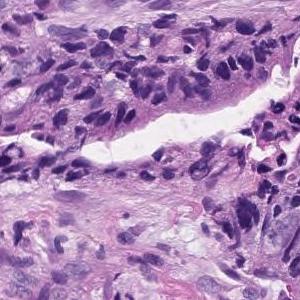
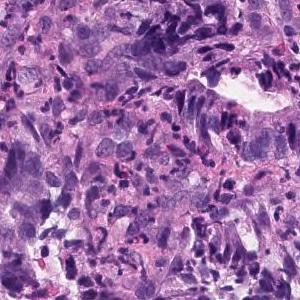
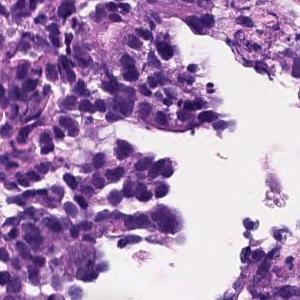
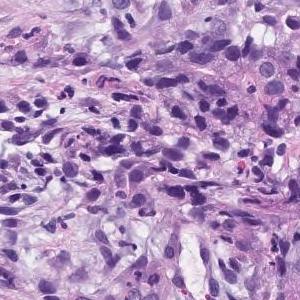
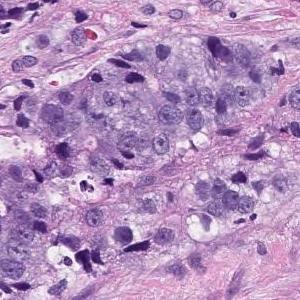
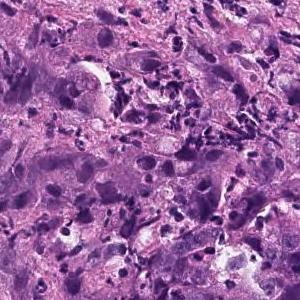
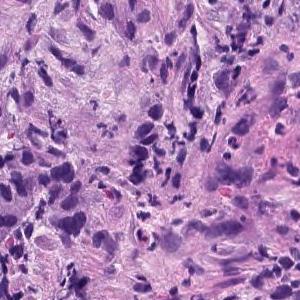
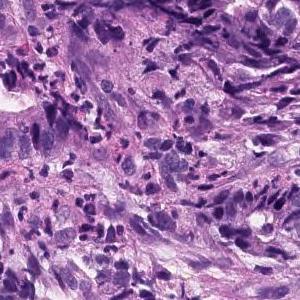
H&E, 8 tiles cut from one stomach biopsy slide, 300 × 300 pixels each.
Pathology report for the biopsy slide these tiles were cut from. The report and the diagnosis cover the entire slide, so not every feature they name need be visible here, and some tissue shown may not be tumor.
Medium to small, irregular glandular ducts are formed in the superficial epithelium, and in some cases, the glandular ducts are fused to show solid alveolar lesions and infiltrating tumor tissue is observed. Moderately to poorly differentiated adenocarcinoma.
